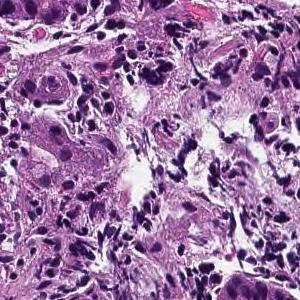
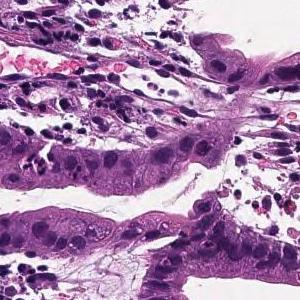
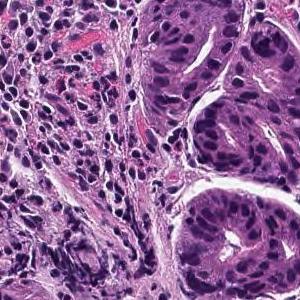
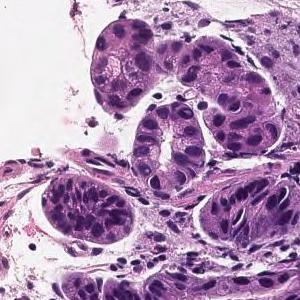
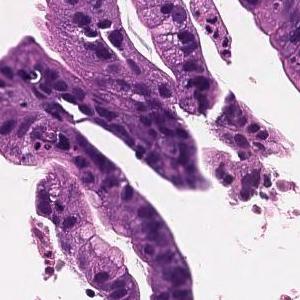
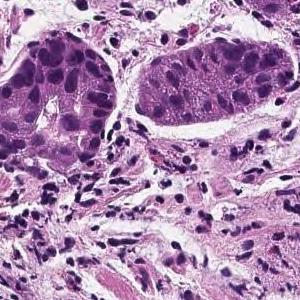
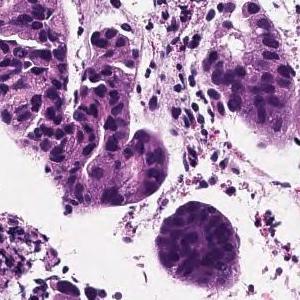
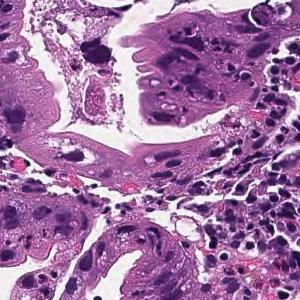
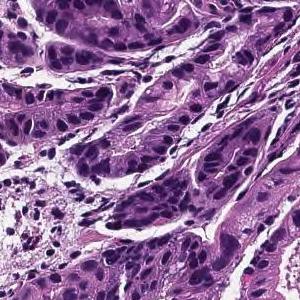
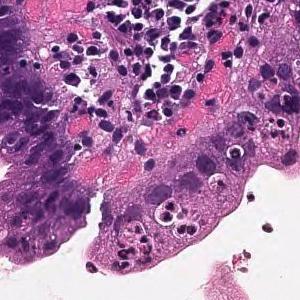
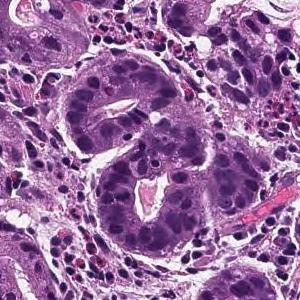
11 patches cut from one gastric biopsy slide; 20× magnification; H&E stain.
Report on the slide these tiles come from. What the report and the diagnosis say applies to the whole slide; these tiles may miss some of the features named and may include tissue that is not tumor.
From the superficial epithelium to the muscularis mucosae, tumor tissue consisting of medium-sized and irregular glandular ducts infiltrating is observed. Well differentiated tubular adenocarcinoma
